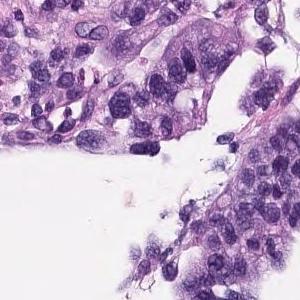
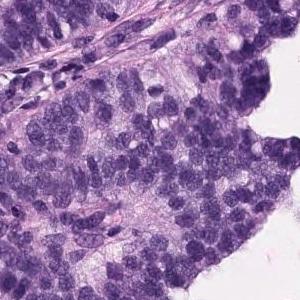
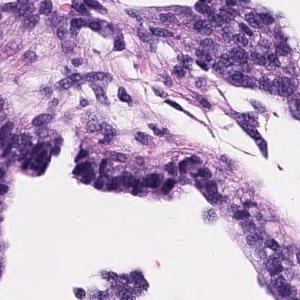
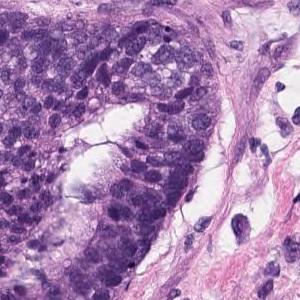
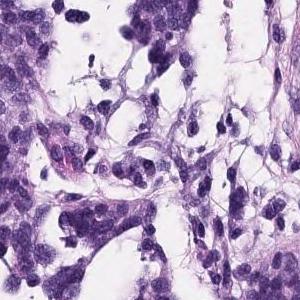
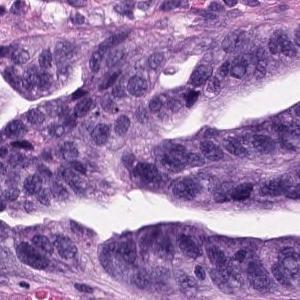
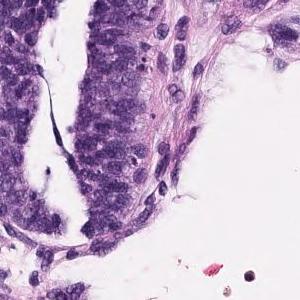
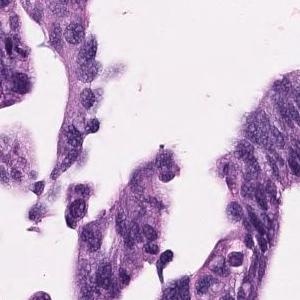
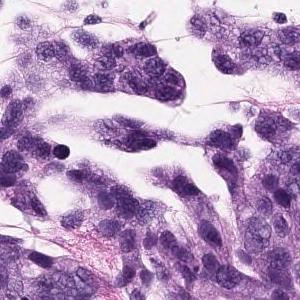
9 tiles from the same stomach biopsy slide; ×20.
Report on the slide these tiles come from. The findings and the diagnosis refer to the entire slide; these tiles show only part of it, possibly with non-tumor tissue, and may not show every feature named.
Tumor cells are large, highly columnar, large club-shaped nuclei, and are associated with chromatin aggregation. Papillary adenocarcinoma.
